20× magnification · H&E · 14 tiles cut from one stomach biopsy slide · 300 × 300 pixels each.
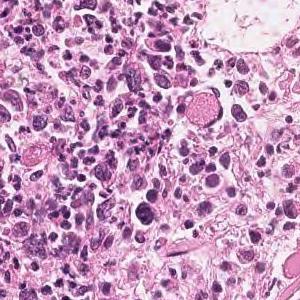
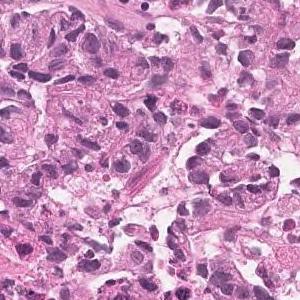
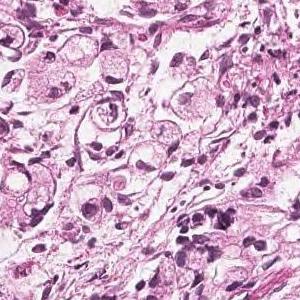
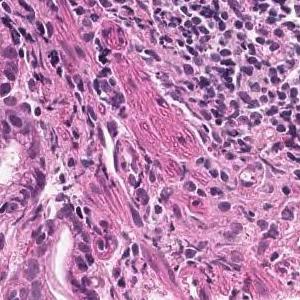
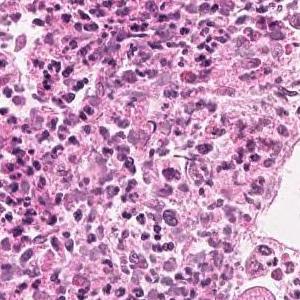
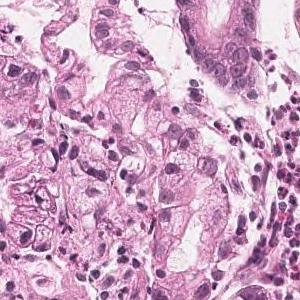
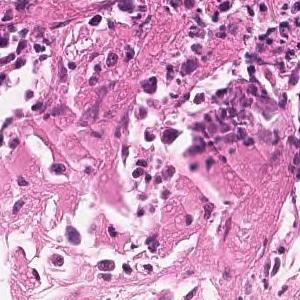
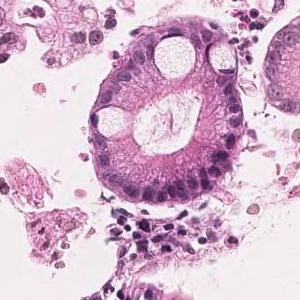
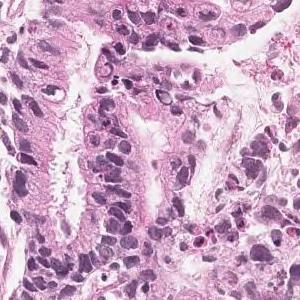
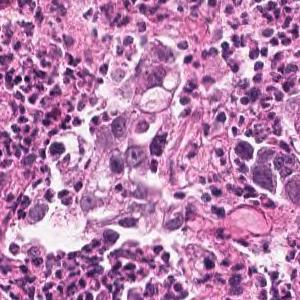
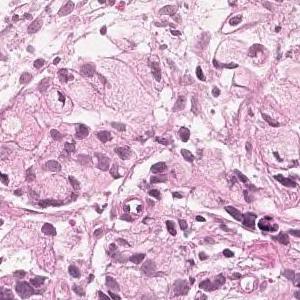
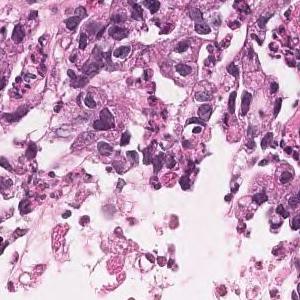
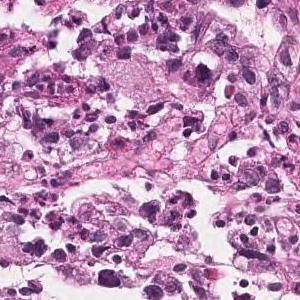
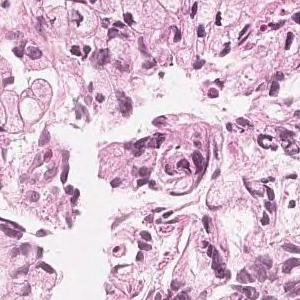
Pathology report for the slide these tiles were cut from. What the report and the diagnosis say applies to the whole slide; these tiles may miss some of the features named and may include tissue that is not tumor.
In the superficial epithelium, medium to small irregular gland ducts are formed, and in some cases, the ducts are fused to show solid alveolar lesions and infiltrating tumor tissue is observed. Moderately to poorly differentiated adenocarcinoma
